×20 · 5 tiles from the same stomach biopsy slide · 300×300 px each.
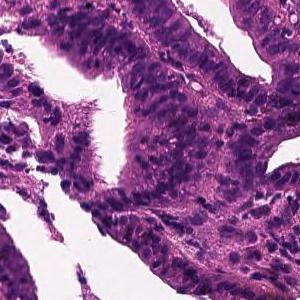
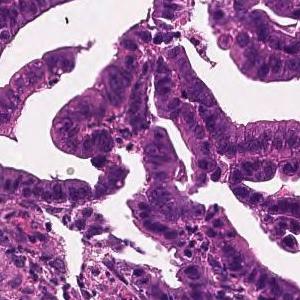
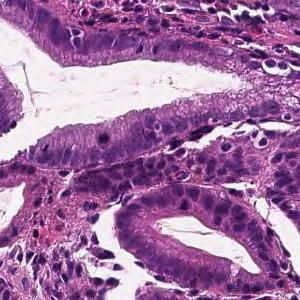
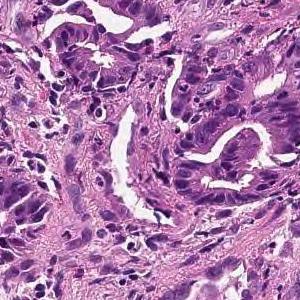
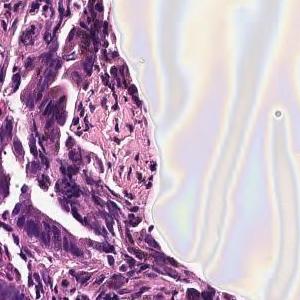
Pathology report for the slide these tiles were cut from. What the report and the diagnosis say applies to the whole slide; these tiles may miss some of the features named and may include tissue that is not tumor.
From the superficial epithelium to the muscularis mucosae, tumor tissue consisting of medium-sized and irregular glandular ducts infiltrating is observed. Well differentiated tubular adenocarcinoma
